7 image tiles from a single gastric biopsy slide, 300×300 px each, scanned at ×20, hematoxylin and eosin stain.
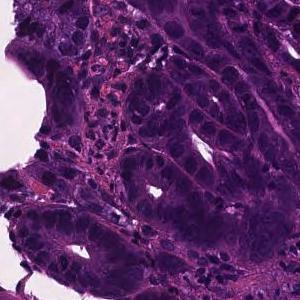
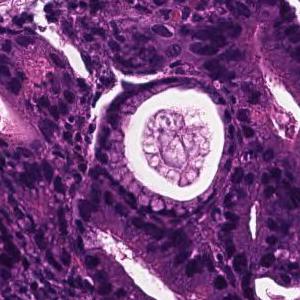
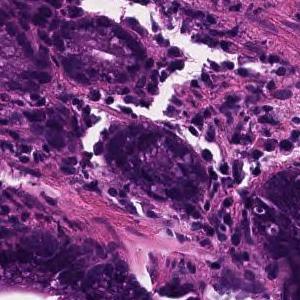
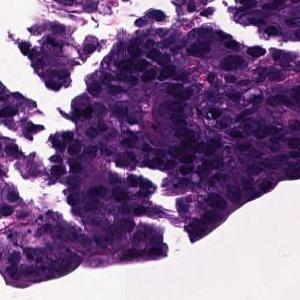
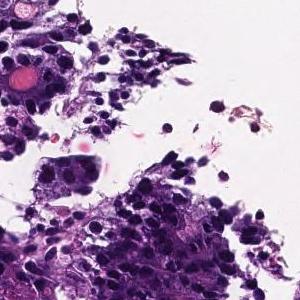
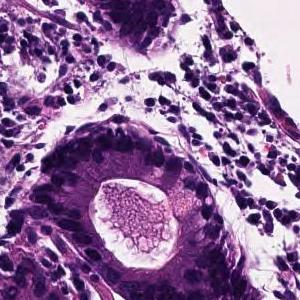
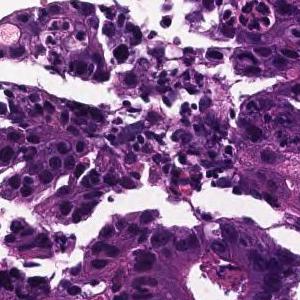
Diagnostic report for the slide these tiles come from. The findings and the diagnosis refer to the entire slide; these tiles show only part of it, possibly with non-tumor tissue, and may not show every feature named.
From the superficial epithelium to the muscularis mucosae, tumor tissue infiltrating by forming medium-sized irregular gland ducts is observed. Large tumor cells exhibit large nucleus and hyperchromatism. Well differentiated tubular adenocarcinoma
